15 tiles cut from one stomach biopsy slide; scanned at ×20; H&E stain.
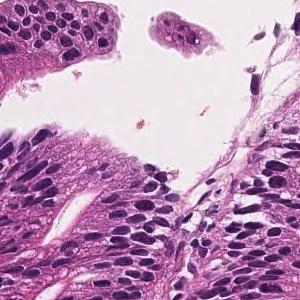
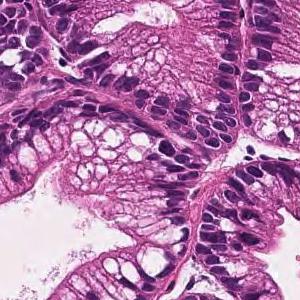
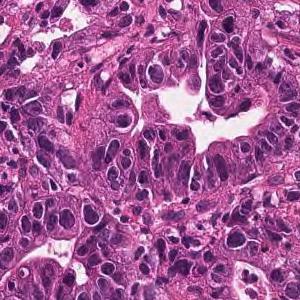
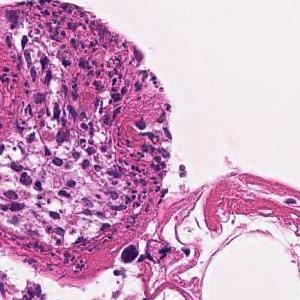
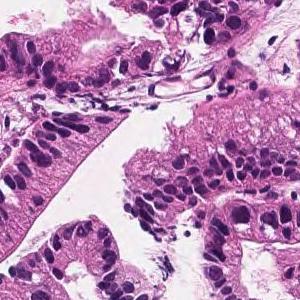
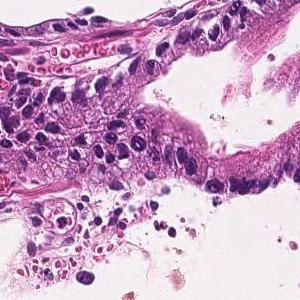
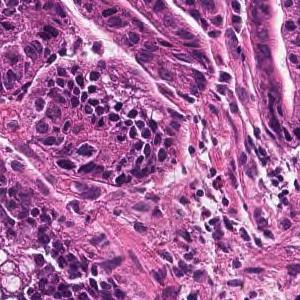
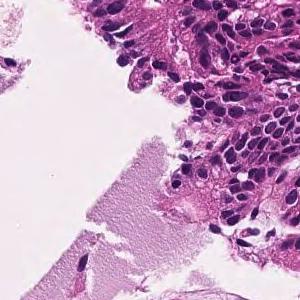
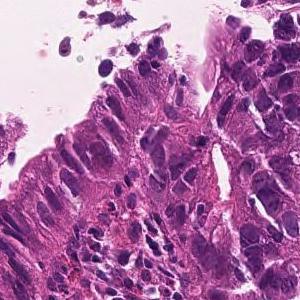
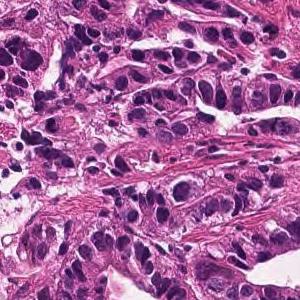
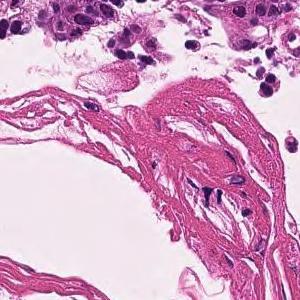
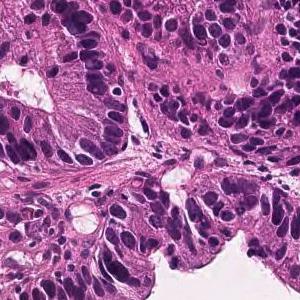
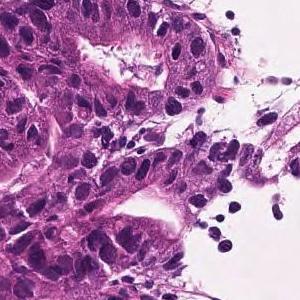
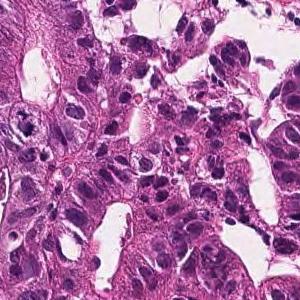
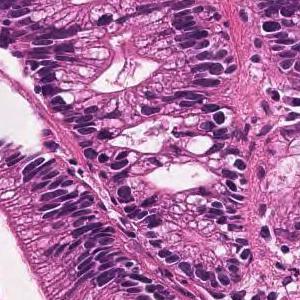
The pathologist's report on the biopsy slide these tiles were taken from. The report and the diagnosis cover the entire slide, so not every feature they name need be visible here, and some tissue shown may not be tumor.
In the superficial epithelium, tumor tissue that invades by forming medium-sized to small, irregular ducts is observed. moderately differentiated tubular adenocarcinoma.
